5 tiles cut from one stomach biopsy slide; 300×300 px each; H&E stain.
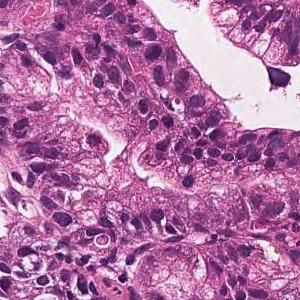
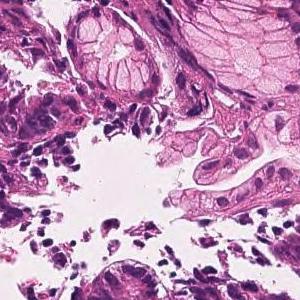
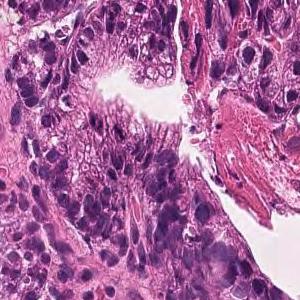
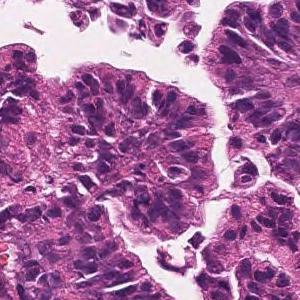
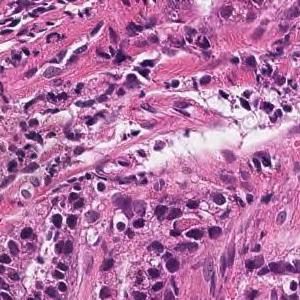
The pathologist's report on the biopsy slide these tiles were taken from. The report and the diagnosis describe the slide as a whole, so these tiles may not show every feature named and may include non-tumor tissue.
On the superficial epithelium, tumor tissue consisting of large, irregular glandular ducts partially fused and infiltrated is observed. Well to moderately differentiated tubular adenocarcinoma (well differentiated tubular adenocarcinoma, moderately differentiated tubular adenocarcinoma)
Subtype: Well to moderately differentiated tubular adenocarcinoma.
